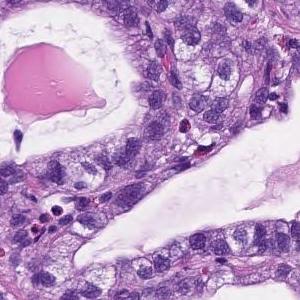
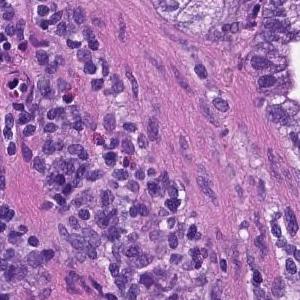
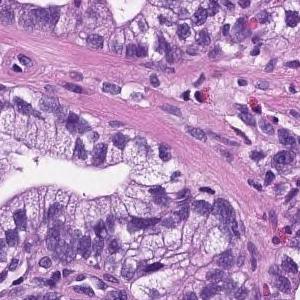
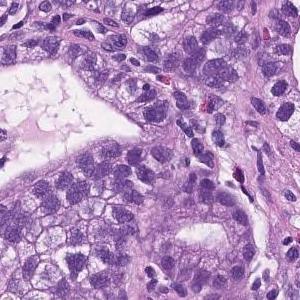
H&E stain; 20× magnification; 4 tiles cut from one stomach biopsy slide.
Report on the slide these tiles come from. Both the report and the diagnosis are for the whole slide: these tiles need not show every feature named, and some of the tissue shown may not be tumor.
From the superficial epithelium to the muscularis mucosae, tumor tissue consisting of medium-sized and irregular glandular ducts infiltrating is observed. Well differentiated tubular adenocarcinoma
